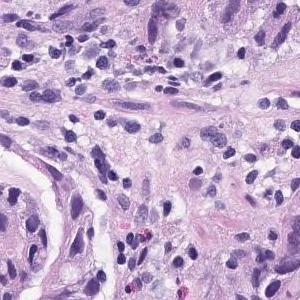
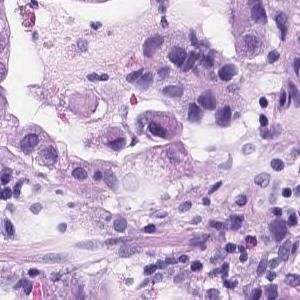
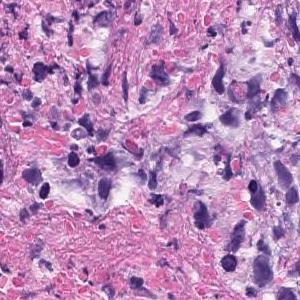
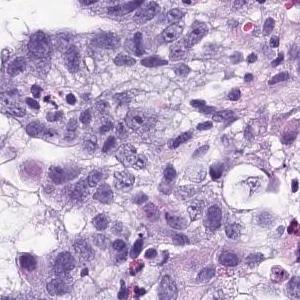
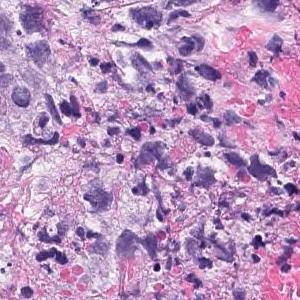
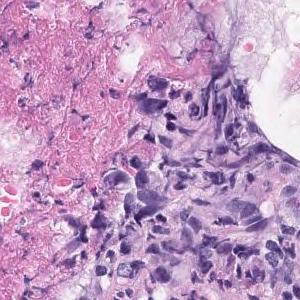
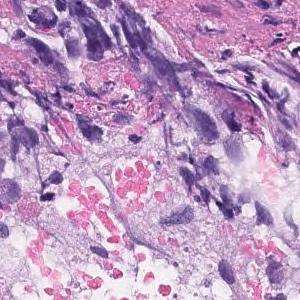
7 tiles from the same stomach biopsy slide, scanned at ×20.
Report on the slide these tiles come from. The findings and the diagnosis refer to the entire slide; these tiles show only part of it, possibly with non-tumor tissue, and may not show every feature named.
In the superficial epithelium, tumor tissue that invades by forming medium-sized to small, irregular ducts is observed. Moderately differentiated adenocarcinoma.
Histologic type: Moderately differentiated tubular adenocarcinoma.
